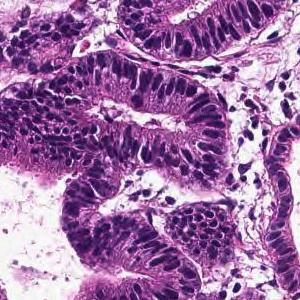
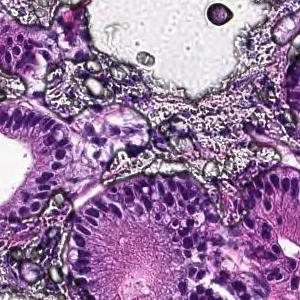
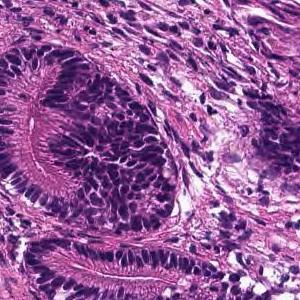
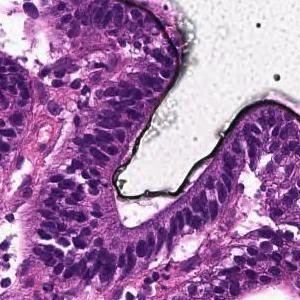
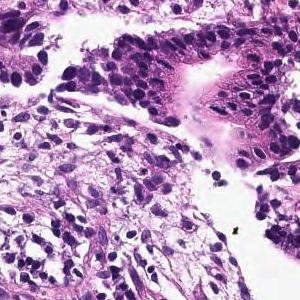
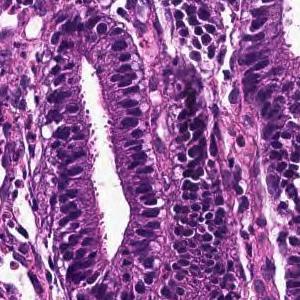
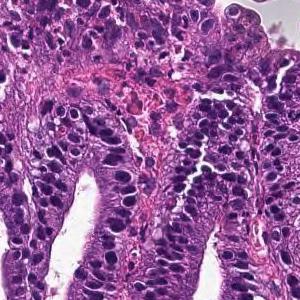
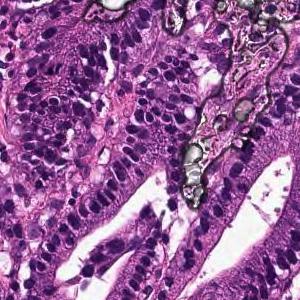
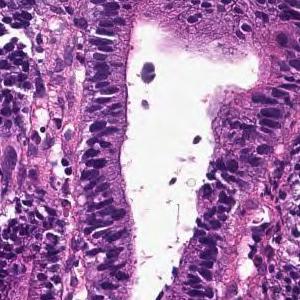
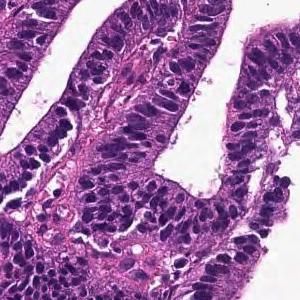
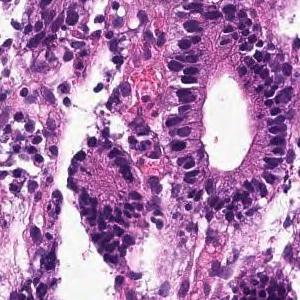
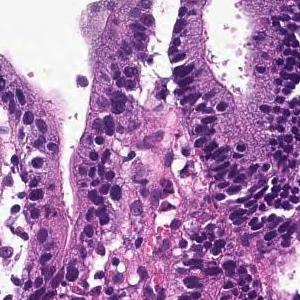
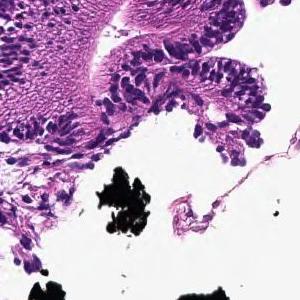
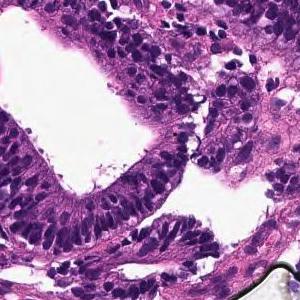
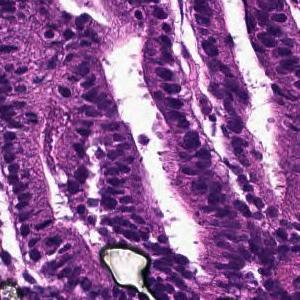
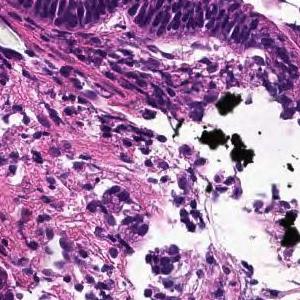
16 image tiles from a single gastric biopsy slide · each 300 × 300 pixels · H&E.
Diagnostic report for the slide these tiles come from. The findings and the diagnosis refer to the entire slide; these tiles show only part of it, possibly with non-tumor tissue, and may not show every feature named.
On the superficial epithelium, tumor tissue that infiltrates by forming medium-sized round or small irregular ducts is observed. Papillary adenocarcinoma
